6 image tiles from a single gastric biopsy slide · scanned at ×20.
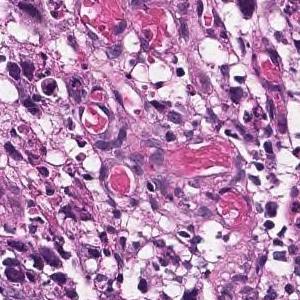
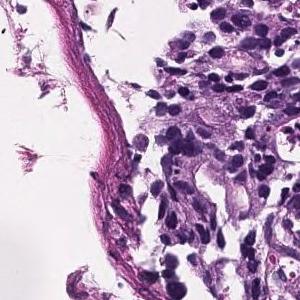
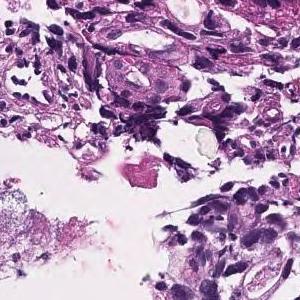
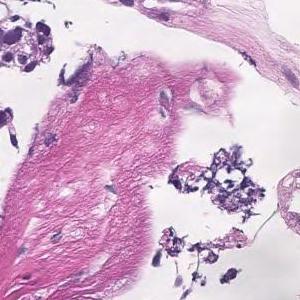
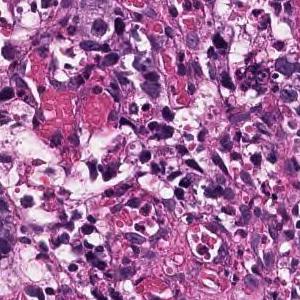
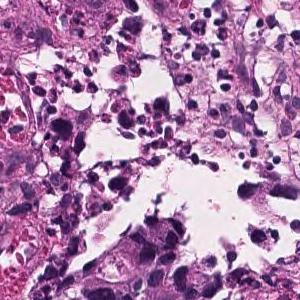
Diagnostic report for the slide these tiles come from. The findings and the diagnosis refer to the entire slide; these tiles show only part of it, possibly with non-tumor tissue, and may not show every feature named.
Tumor tissue consisting of medium-sized, cord-like or irregular glandular infiltration is observed in the superficial epithelium. Poorly differentiated adenocarcinoma, non-solid type or moderately differentiated tubular adenocarcinoma
The term "non-solid type" comes from the Japanese Classification of Gastric Carcinoma.
